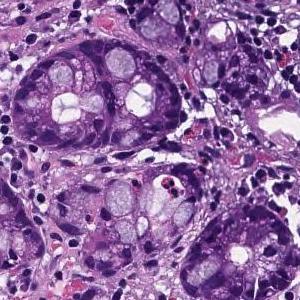
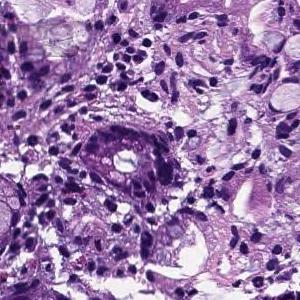
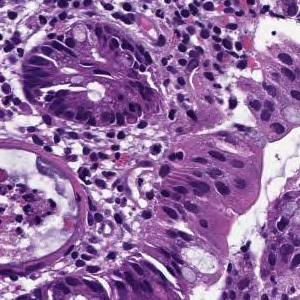
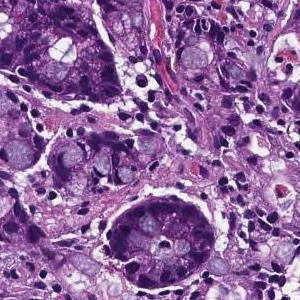
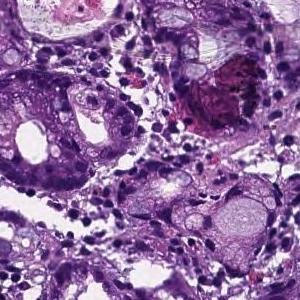
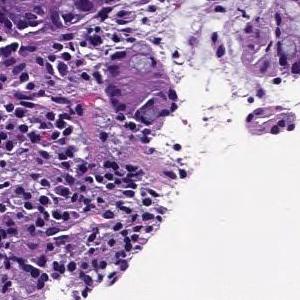
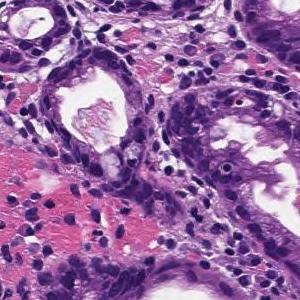
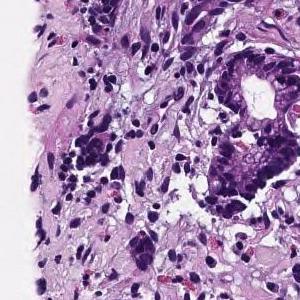
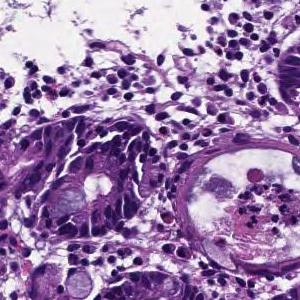
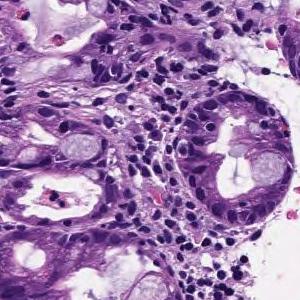
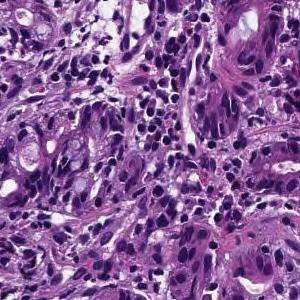
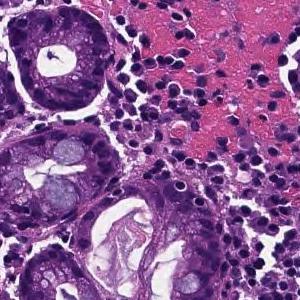
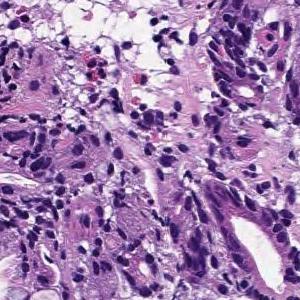
Scanned at ×20 · hematoxylin and eosin stain · 13 image tiles from a single gastric biopsy slide.
Report on the slide these tiles come from. The findings and the diagnosis refer to the entire slide; these tiles show only part of it, possibly with non-tumor tissue, and may not show every feature named.
Tumor tissue consisting of medium-sized, cord-like or irregular glandular infiltration is observed in the superficial epithelium. Poorly differentiated adenocarcinoma, non-solid type or moderately differentiated tubular adenocarcinoma
Histologic type: Moderately to poorly differentiated adenocarcinoma.
The non-solid type named here is a Japanese Classification of Gastric Carcinoma category.
